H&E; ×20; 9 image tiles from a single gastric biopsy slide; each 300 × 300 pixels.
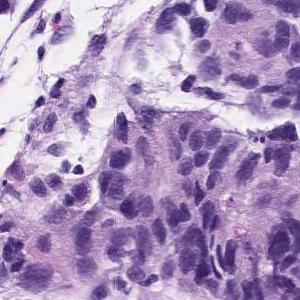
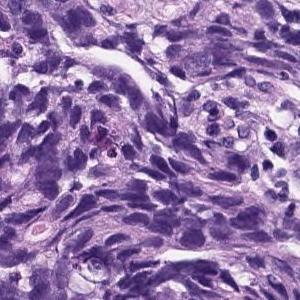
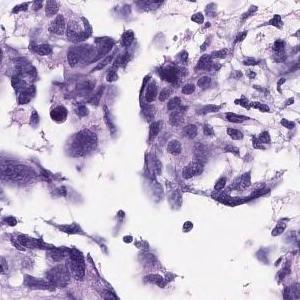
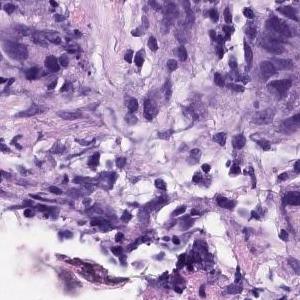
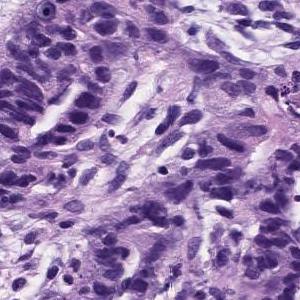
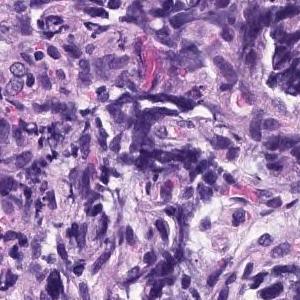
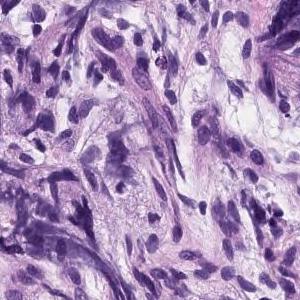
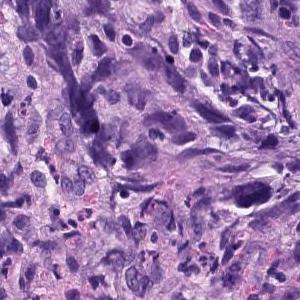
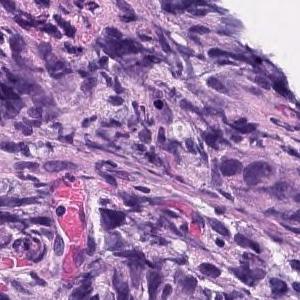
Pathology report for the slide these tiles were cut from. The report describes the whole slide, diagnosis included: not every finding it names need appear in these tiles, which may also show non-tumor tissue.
Atypical epithelial cells with an increased N/C ratio proliferate and consist of a part that shows the formation of gland ducts and a part that shows solid growth. Poorly differentiated adenocarcinoma, solid-type
Classified as poorly differentiated adenocarcinoma, solid type (Japanese Classification of Gastric Carcinoma). The WHO 2019 equivalent is tubular adenocarcinoma, poorly differentiated.
